11 image tiles from a single gastric biopsy slide; each 300 × 300 pixels; H&E; scanned at ×20.
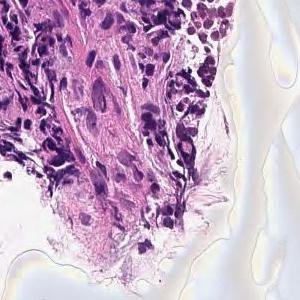
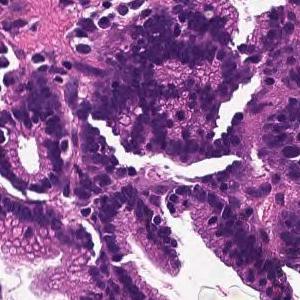
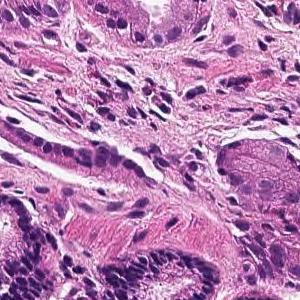
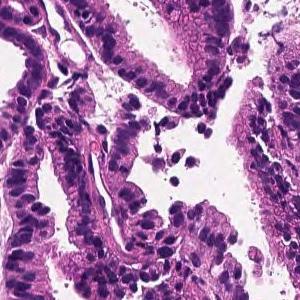
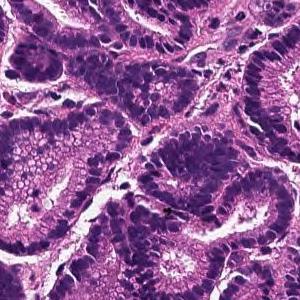
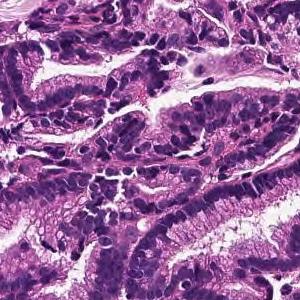
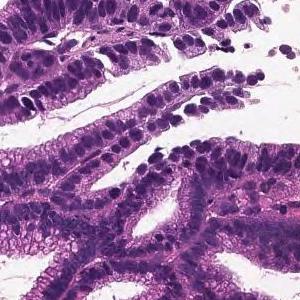
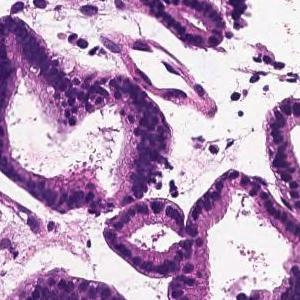
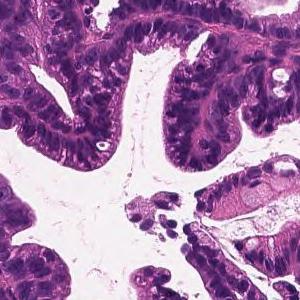
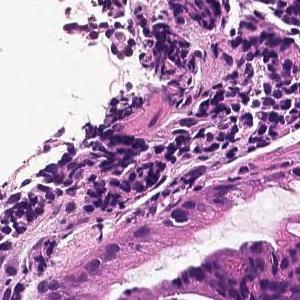
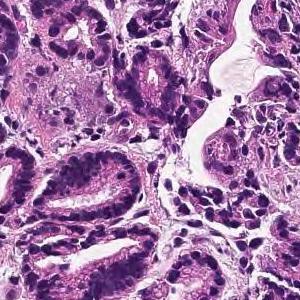
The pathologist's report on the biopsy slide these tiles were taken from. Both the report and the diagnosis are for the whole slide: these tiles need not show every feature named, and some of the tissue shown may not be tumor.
On the superficial epithelium, tumor tissue consisting of large irregular glandular ducts partially fused and infiltrated is observed. Well to moderately differentiated tubular adenocarcinoma (well differentiated tubular adenocarcinoma, moderately differentiated tubular adenocarcinoma)
Subtype: Well to moderately differentiated tubular adenocarcinoma.
